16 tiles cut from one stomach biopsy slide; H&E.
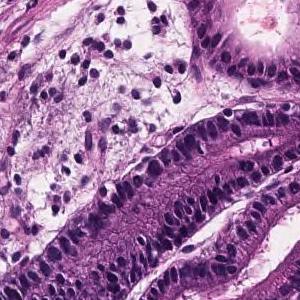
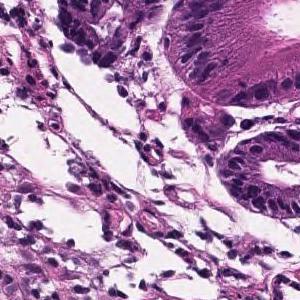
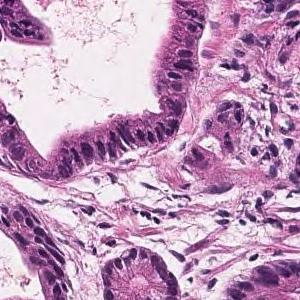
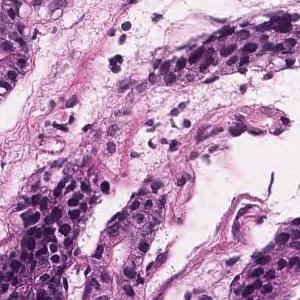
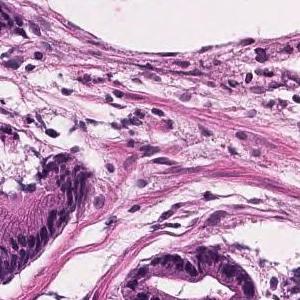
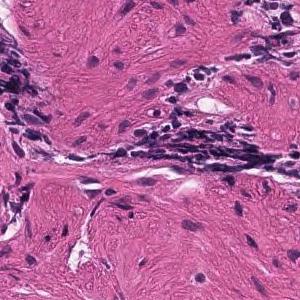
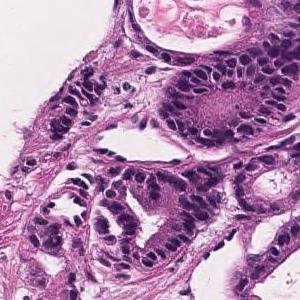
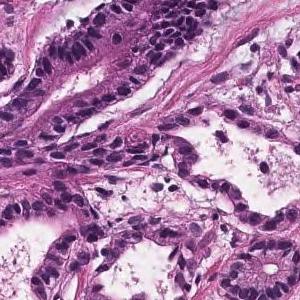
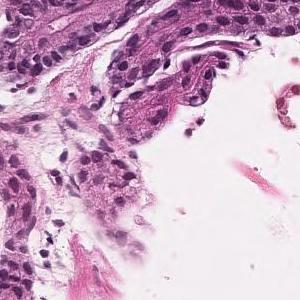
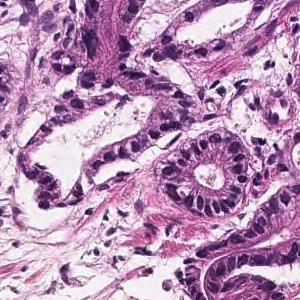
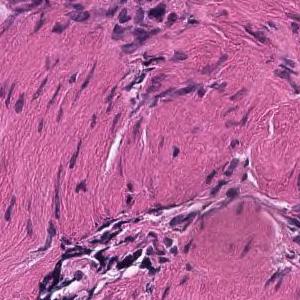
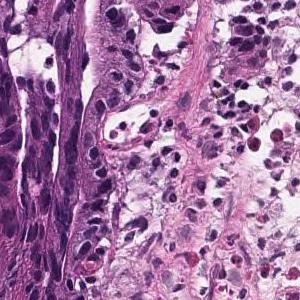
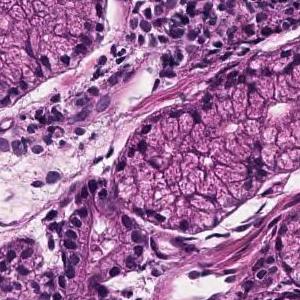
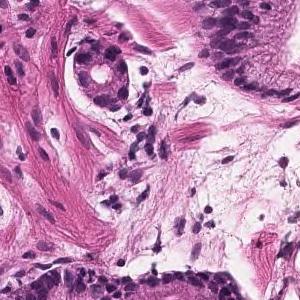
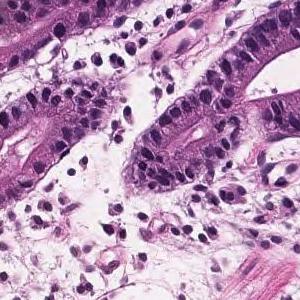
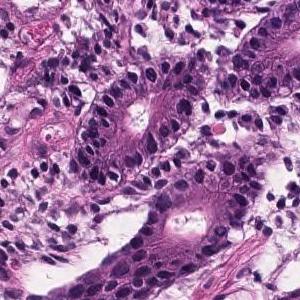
Report on the slide these tiles come from. Both the report and the diagnosis are for the whole slide: these tiles need not show every feature named, and some of the tissue shown may not be tumor.
Tumor tissue with atypical epithelium showing irregular ductal or sieving ductal structure and proliferating is observed. Well to moderately differentiated tubular adenocarcinoma (well differentiated tubular adenocarcinoma-moderately differentiated tubular adenocarcinoma)
Histologic type: Well to moderately differentiated tubular adenocarcinoma.
